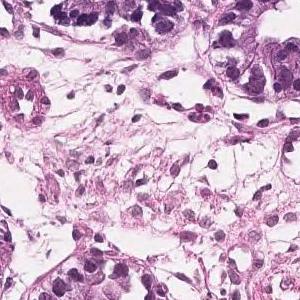
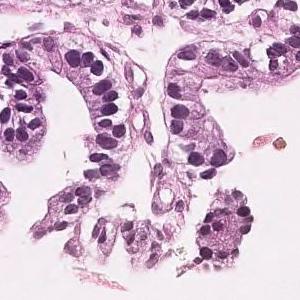
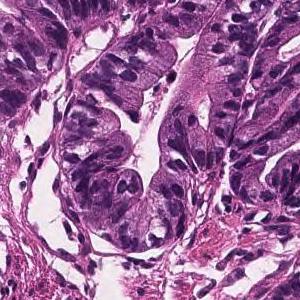
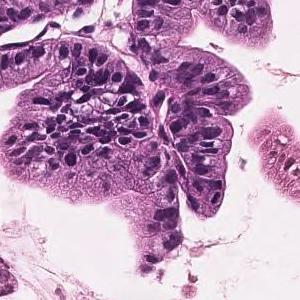
4 tiles from the same stomach biopsy slide · H&E stain · ×20.
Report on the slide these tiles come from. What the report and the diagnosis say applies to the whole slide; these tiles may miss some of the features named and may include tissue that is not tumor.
Tumor cells are large, highly columnar, large club-shaped nuclei, and are associated with chromatin aggregation. Papillary adenocarcinoma.
